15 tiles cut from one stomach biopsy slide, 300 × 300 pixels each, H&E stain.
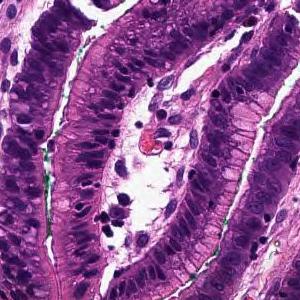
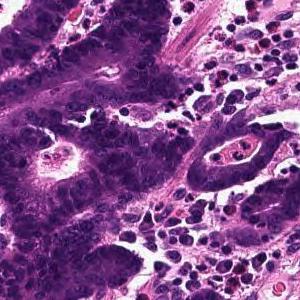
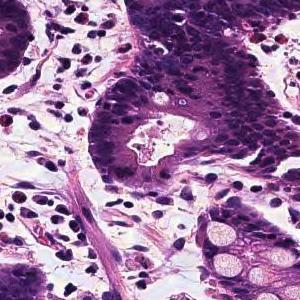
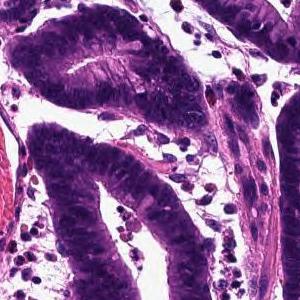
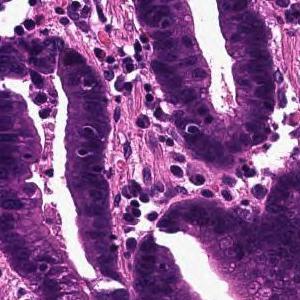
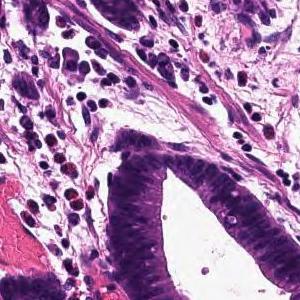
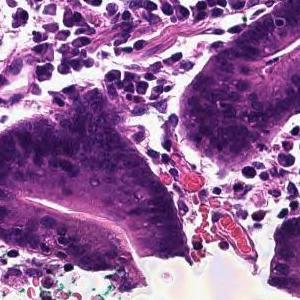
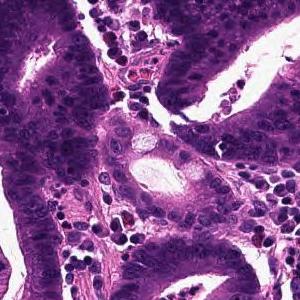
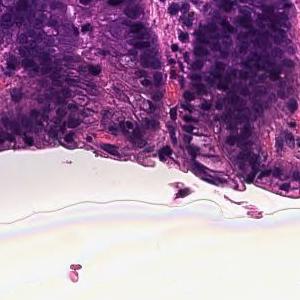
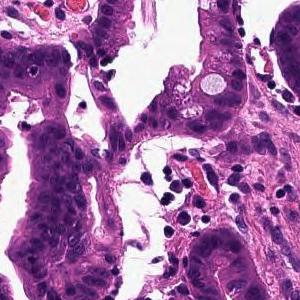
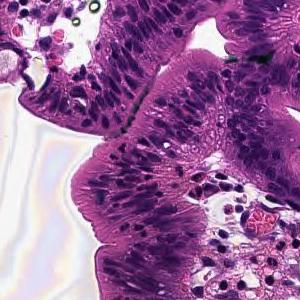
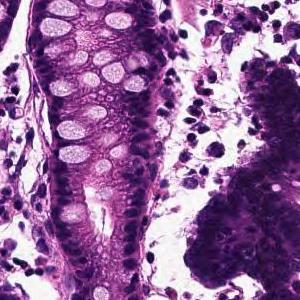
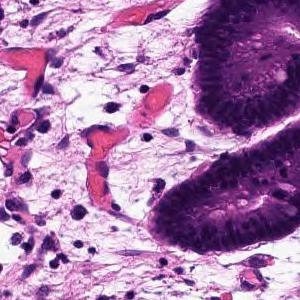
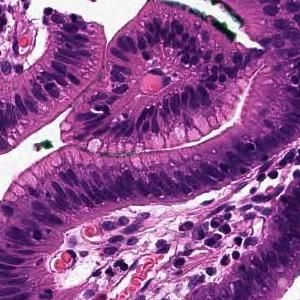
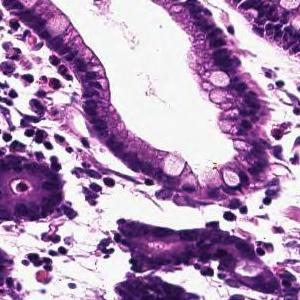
Pathology report for the slide these tiles were cut from. What the report and the diagnosis say applies to the whole slide; these tiles may miss some of the features named and may include tissue that is not tumor.
Tumor tissue that infiltrates by forming large papillary or large irregular glandular ducts is observed confined to the mucosa. Papillary adenocarcinoma
